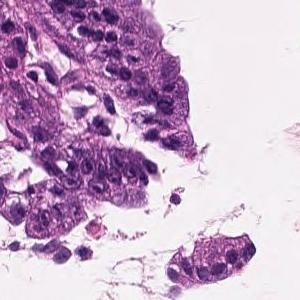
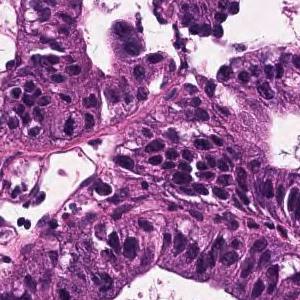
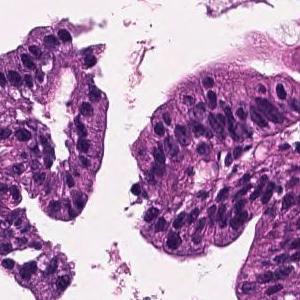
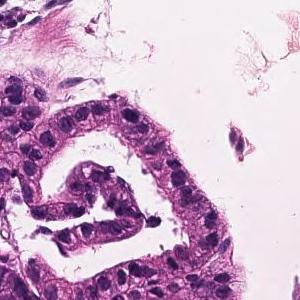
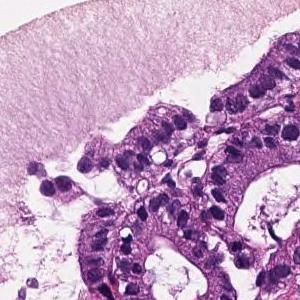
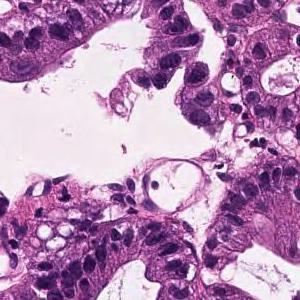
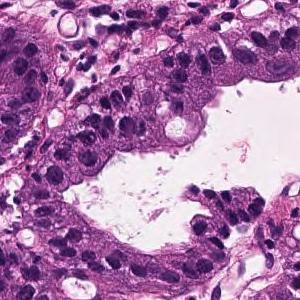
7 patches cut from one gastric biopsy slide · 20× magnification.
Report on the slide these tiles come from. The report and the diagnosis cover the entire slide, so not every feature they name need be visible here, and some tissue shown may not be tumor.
On the superficial epithelium, tumor tissue that infiltrates by forming medium-sized papillary or small irregular ducts is observed. Papillary adenocarcinoma
